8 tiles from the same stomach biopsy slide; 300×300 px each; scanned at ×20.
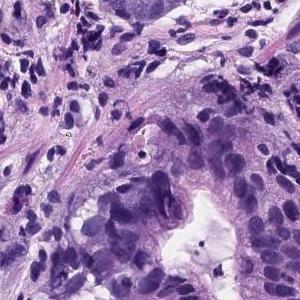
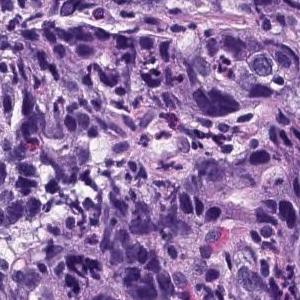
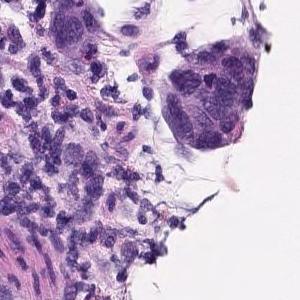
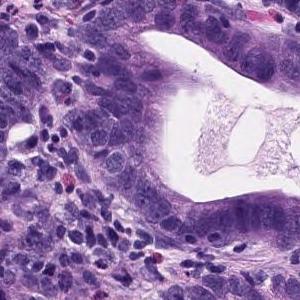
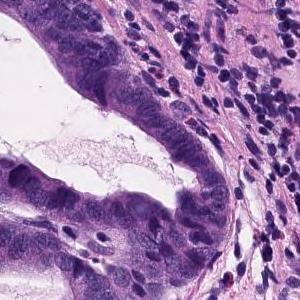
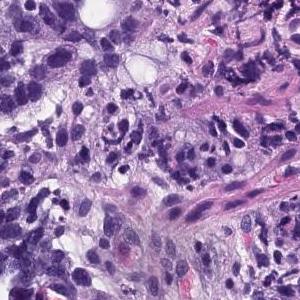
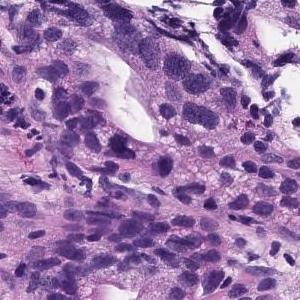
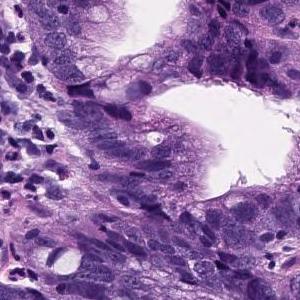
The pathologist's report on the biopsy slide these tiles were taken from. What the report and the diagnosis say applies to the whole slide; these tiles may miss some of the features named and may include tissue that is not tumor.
Tumor tissue consisting of large papillary structures is found in the superficial epithelium. Papillary adenocarcinoma.
